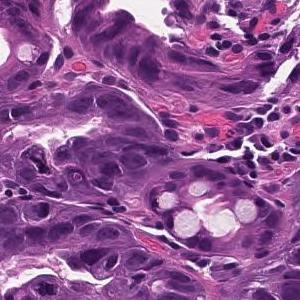
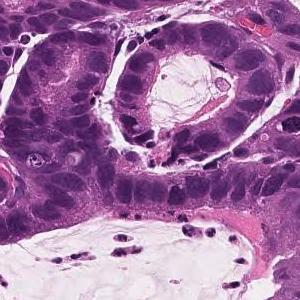
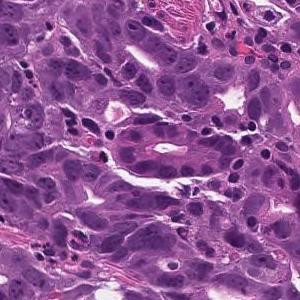
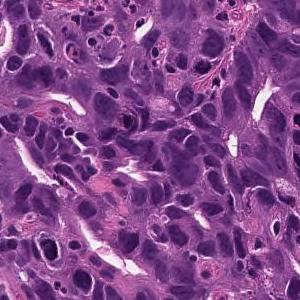
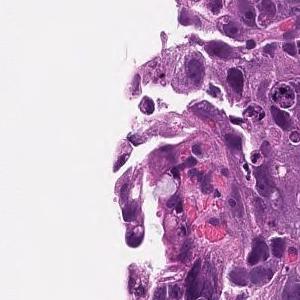
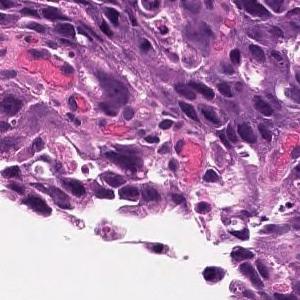
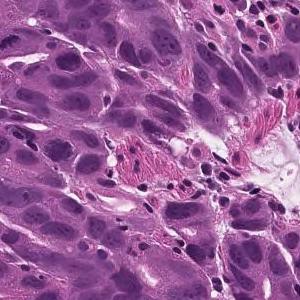
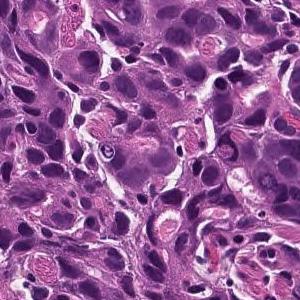
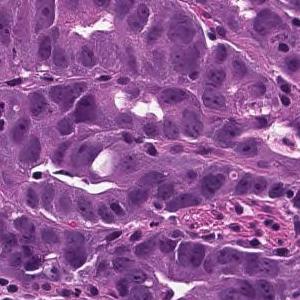
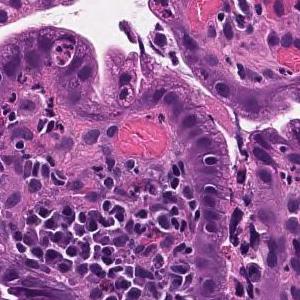
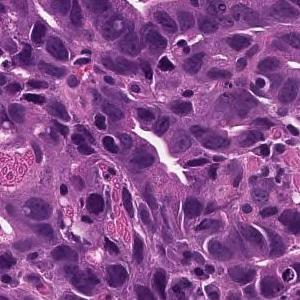
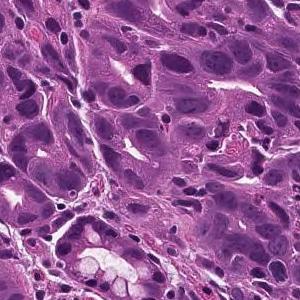
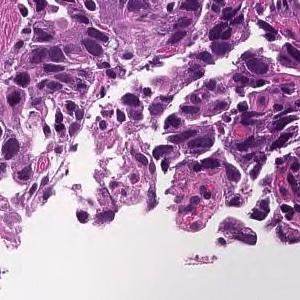
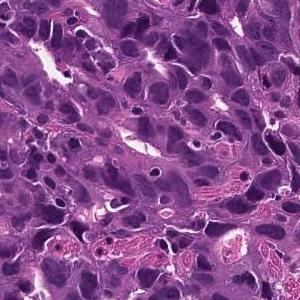
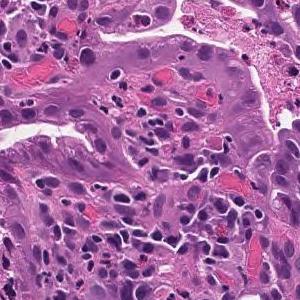
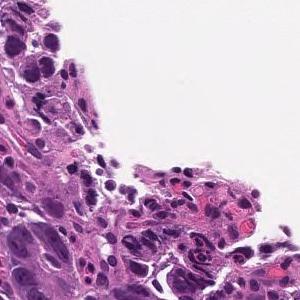
20× magnification; H&E stain; 16 image tiles from a single gastric biopsy slide; 300×300 px each.
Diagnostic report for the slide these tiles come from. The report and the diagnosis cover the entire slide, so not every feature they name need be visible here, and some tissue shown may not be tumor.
On the superficial epithelium, tumor tissue is found in which medium-sized irregular gland ducts fuse with each other and infiltrate. moderately differentiated tubular adenocarcinoma
